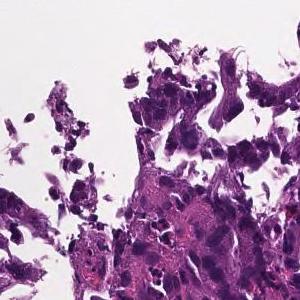
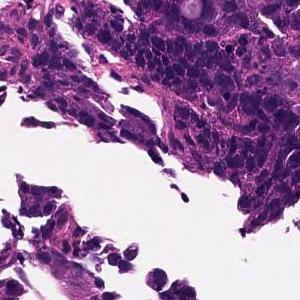
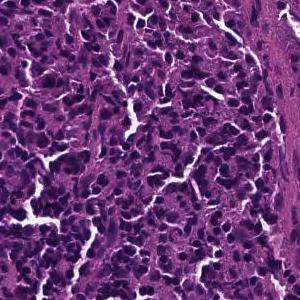
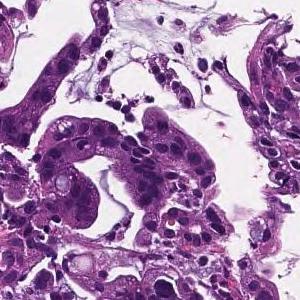
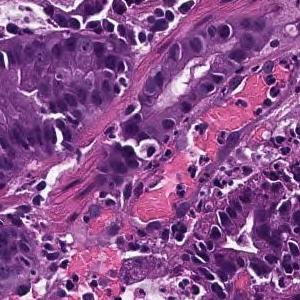
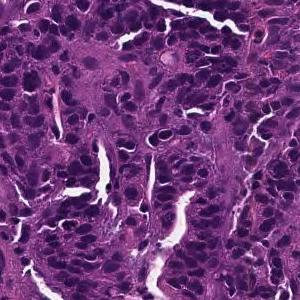
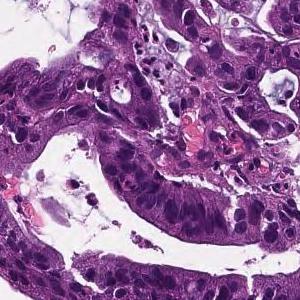
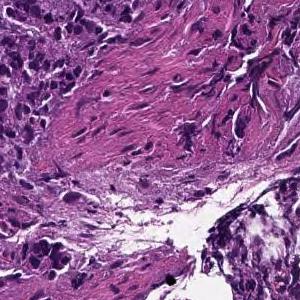
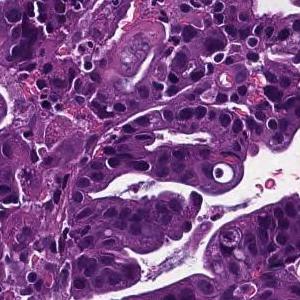
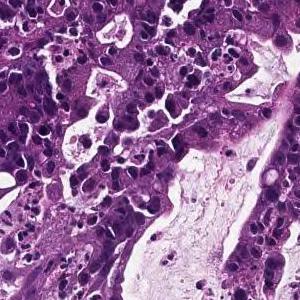
H&E stain; 10 image tiles from a single gastric biopsy slide; each 300 × 300 pixels.
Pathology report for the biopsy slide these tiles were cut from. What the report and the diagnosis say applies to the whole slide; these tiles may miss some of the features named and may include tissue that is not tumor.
On the superficial epithelium, tumor tissue consisting of large irregular glandular ducts partially fused and infiltrated is observed. Well to moderately differentiated tubular adenocarcinoma (well differentiated tubular adenocarcinoma, moderately differentiated tubular adenocarcinoma)
Subtype: Well to moderately differentiated tubular adenocarcinoma.
